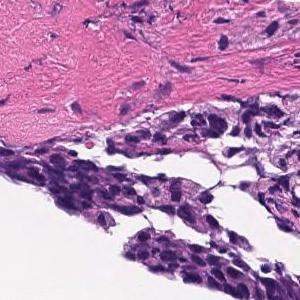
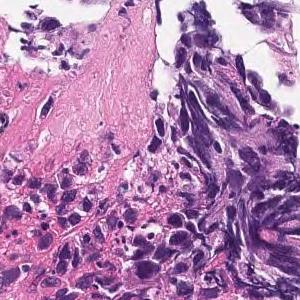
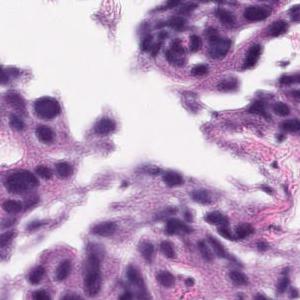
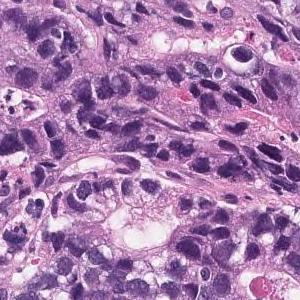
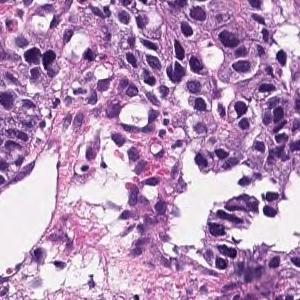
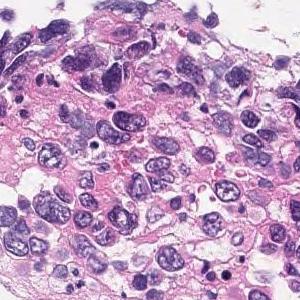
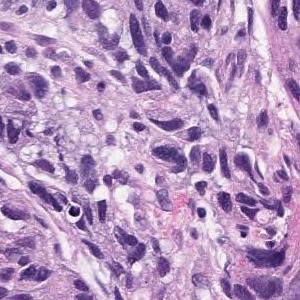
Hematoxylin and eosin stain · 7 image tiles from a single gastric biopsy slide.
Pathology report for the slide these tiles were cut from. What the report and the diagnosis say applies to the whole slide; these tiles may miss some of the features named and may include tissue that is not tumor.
Medium to small, irregular glandular ducts are formed in the superficial epithelium, and in some cases, the glandular ducts are fused to show solid alveolar lesions and infiltrating tumor tissue is observed. Moderately to poorly differentiated adenocarcinoma.
